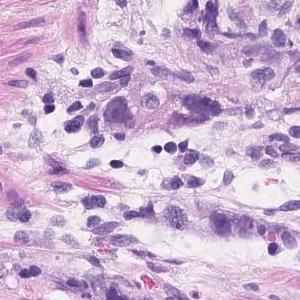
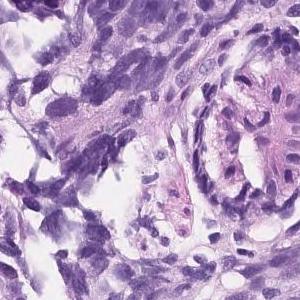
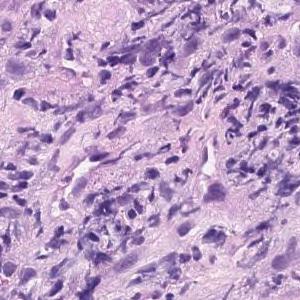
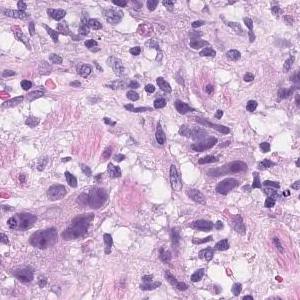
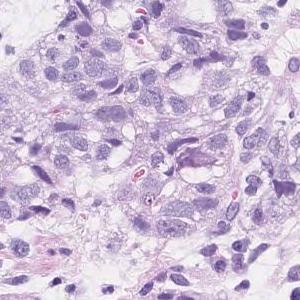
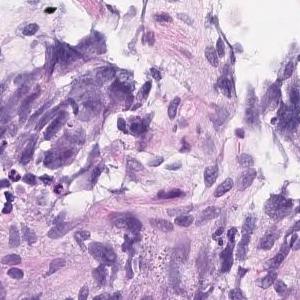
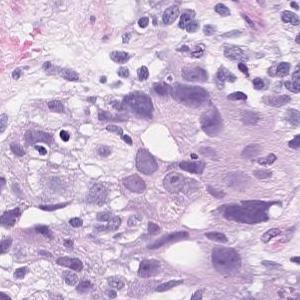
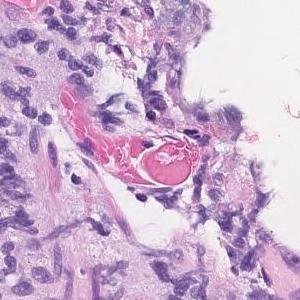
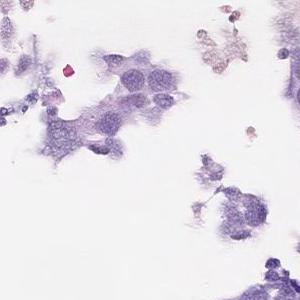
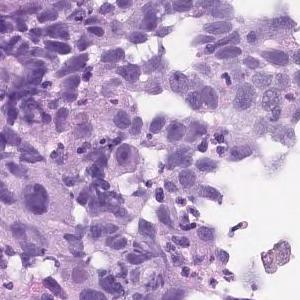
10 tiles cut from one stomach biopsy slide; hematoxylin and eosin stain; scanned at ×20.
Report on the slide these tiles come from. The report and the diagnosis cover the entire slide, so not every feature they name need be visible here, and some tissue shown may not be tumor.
Atypical epithelial cells infiltrating and proliferating diffusely or while forming vesicles is observed. Poorly differentiated adenocarcinoma (poorly differentiated adenocarcinoma, solid type moderately differentiated tubular adenocarcinoma)
Dataset label: poorly differentiated adenocarcinoma, solid type. This name comes from the Japanese Classification of Gastric Carcinoma; the WHO 2019 classification calls it tubular adenocarcinoma, poorly differentiated.
